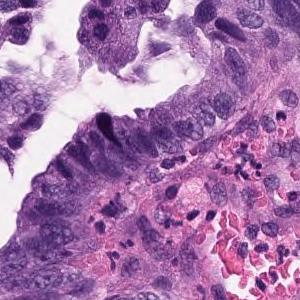
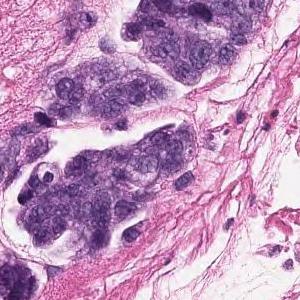
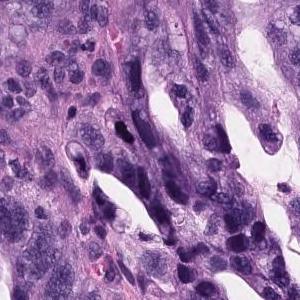
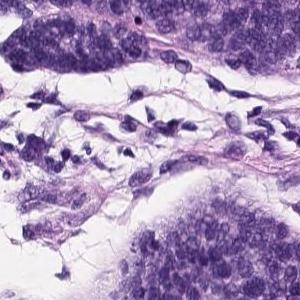
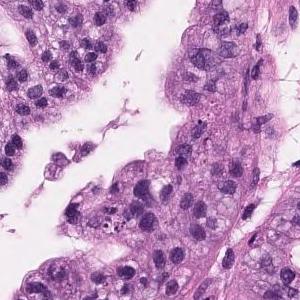
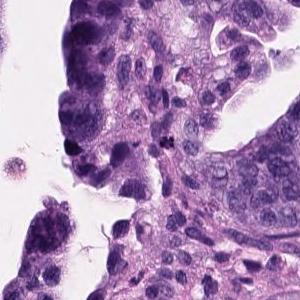
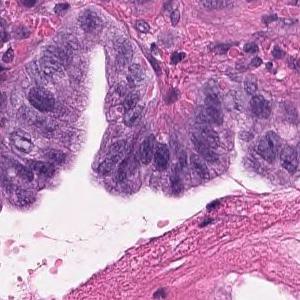
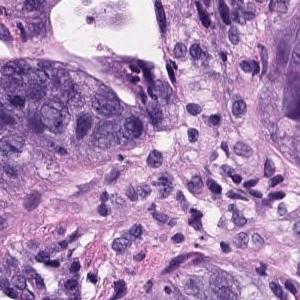
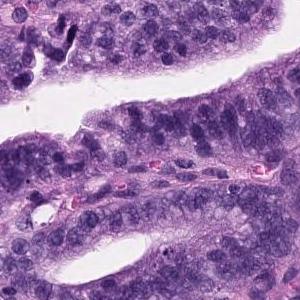
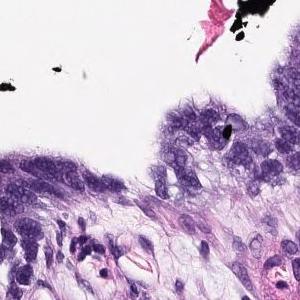
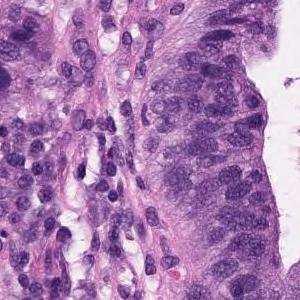
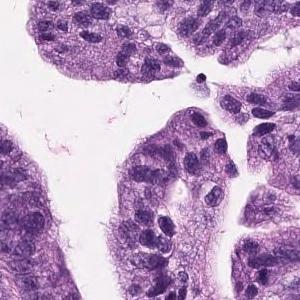
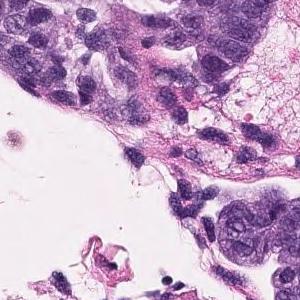
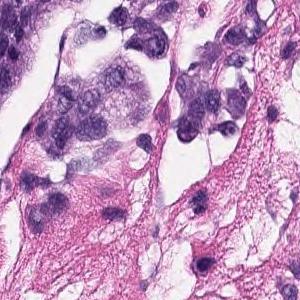
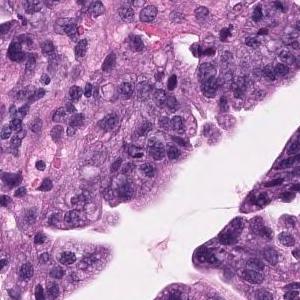
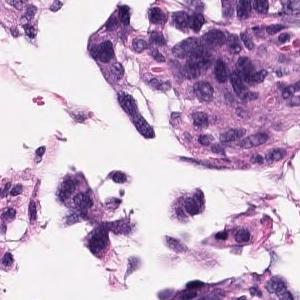
16 image tiles from a single gastric biopsy slide; 300×300 px each; H&E; scanned at ×20.
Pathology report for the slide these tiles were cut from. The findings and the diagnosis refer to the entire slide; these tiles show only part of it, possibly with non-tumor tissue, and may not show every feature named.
Tumor cells are large, highly columnar, large club-shaped nuclei, and are associated with chromatin aggregation. Papillary adenocarcinoma.
